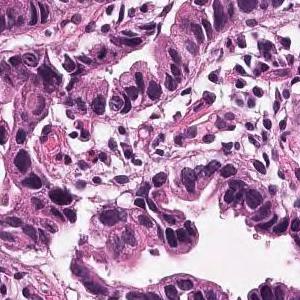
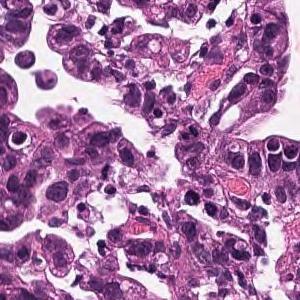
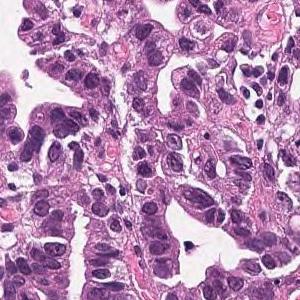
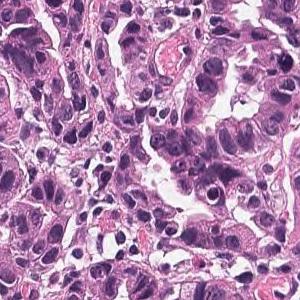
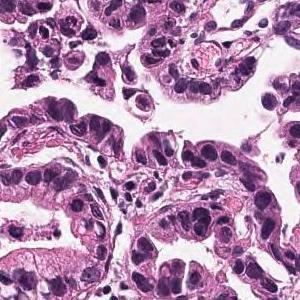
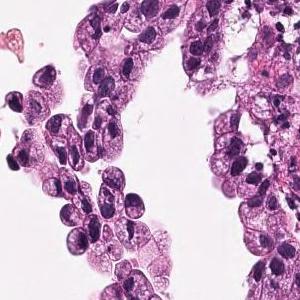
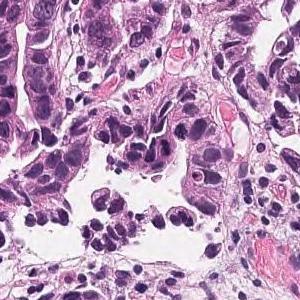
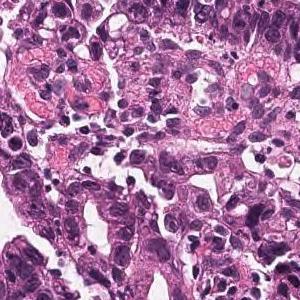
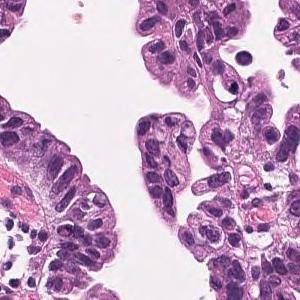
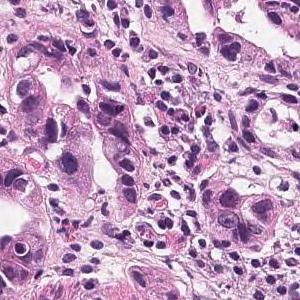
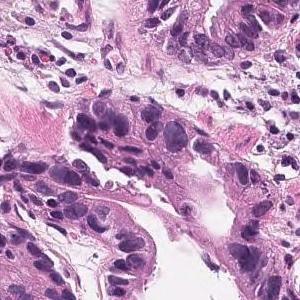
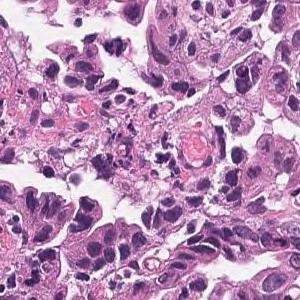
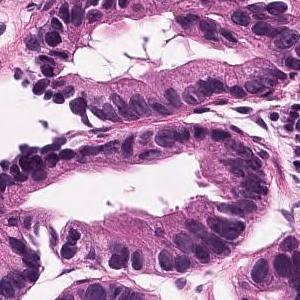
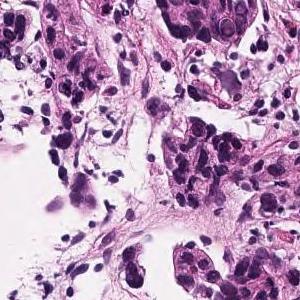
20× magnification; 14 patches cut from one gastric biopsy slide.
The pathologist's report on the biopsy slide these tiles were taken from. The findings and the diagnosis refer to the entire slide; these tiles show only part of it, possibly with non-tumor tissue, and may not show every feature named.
Medium to small, irregular glandular ducts are formed in the superficial epithelium, and in some cases, the glandular ducts are fused to show solid alveolar lesions and infiltrating tumor tissue is observed. Moderately to poorly differentiated adenocarcinoma.
